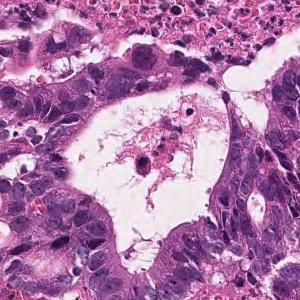
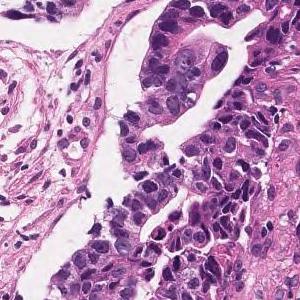
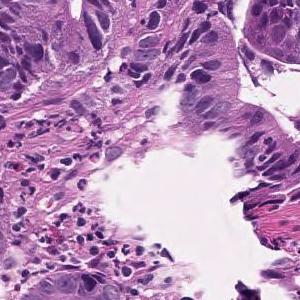
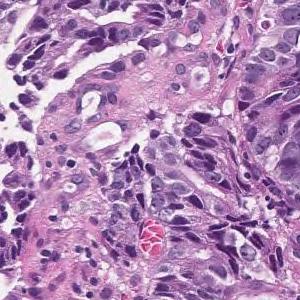
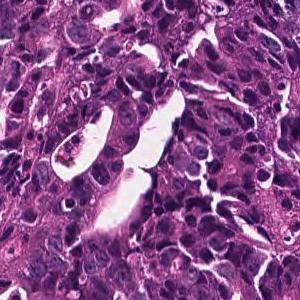
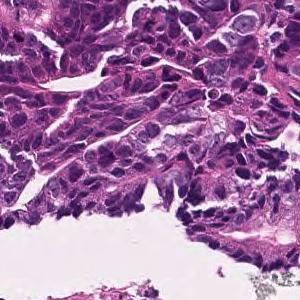
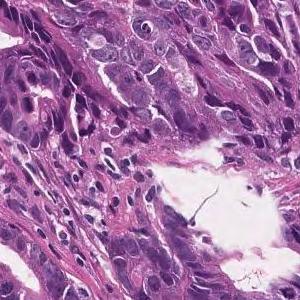
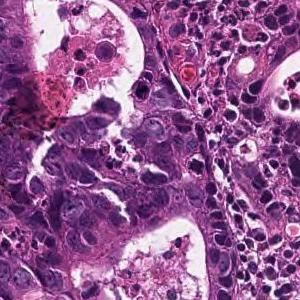
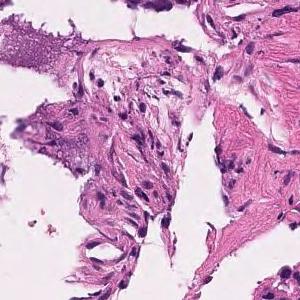
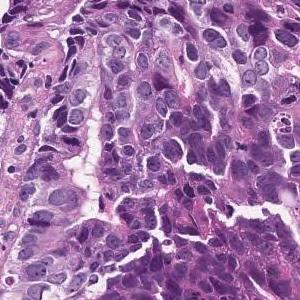
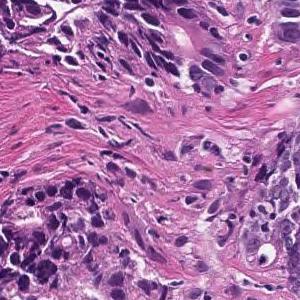
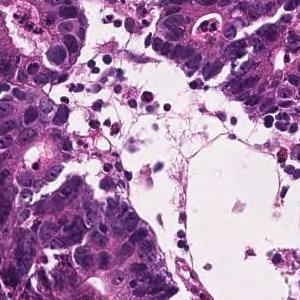
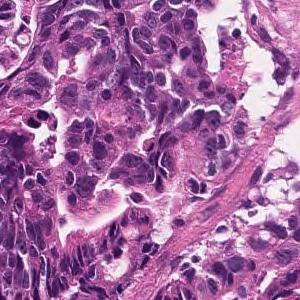
20× magnification · H&E · 13 tiles cut from one stomach biopsy slide.
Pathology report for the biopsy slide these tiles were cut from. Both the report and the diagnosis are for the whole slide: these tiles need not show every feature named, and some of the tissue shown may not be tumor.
In the superficial epithelium, tumor tissue that invades by forming medium-sized to small, irregular ducts is observed. moderately differentiated tubular adenocarcinoma.
